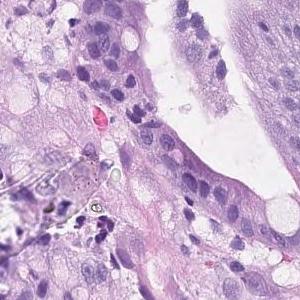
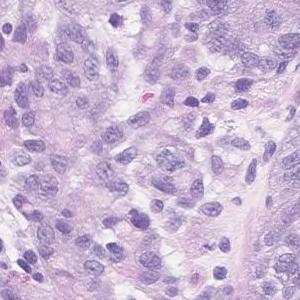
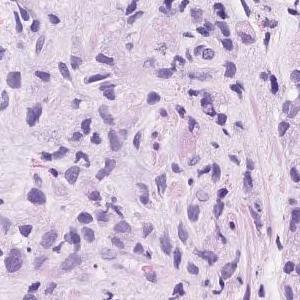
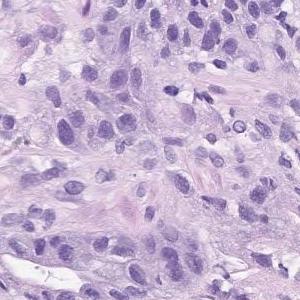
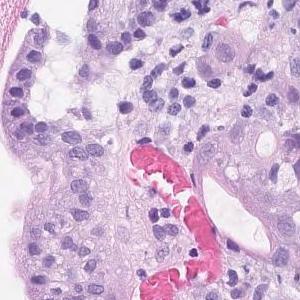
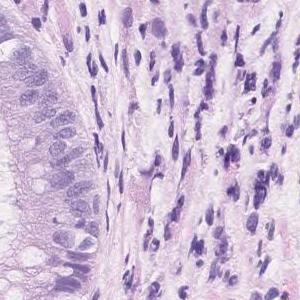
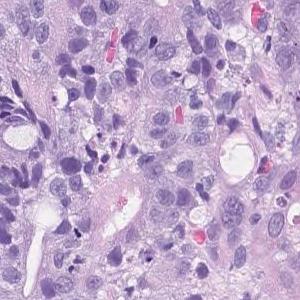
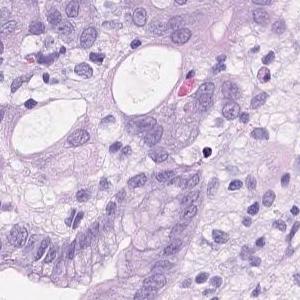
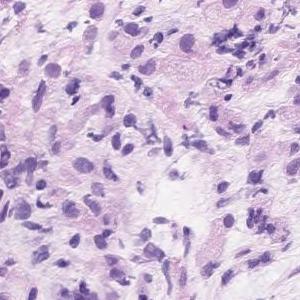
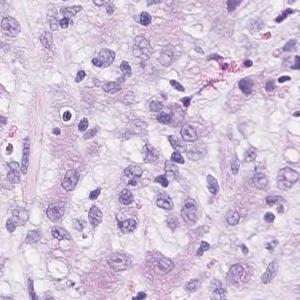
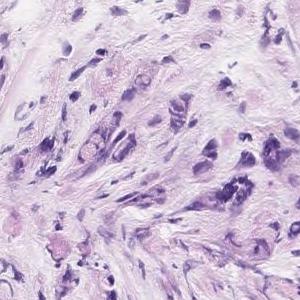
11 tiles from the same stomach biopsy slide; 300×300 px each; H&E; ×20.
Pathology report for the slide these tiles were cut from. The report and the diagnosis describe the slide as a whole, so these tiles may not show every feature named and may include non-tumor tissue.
Group 5, Adenocarcinoma. Poorly differentiated adenocarcinoma, non-solid type
"Non-solid type" is a category of the Japanese Classification of Gastric Carcinoma.
